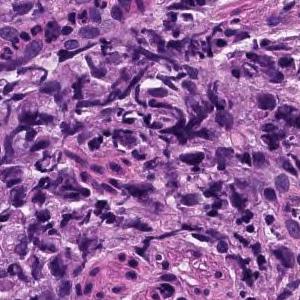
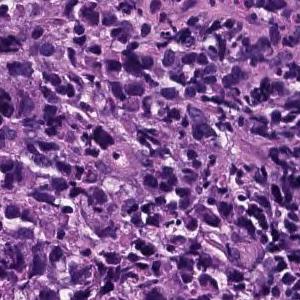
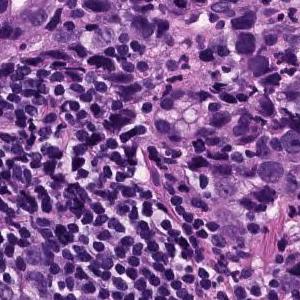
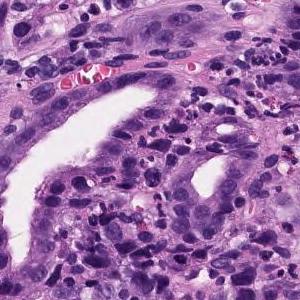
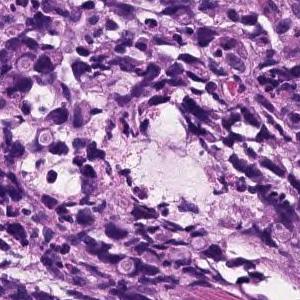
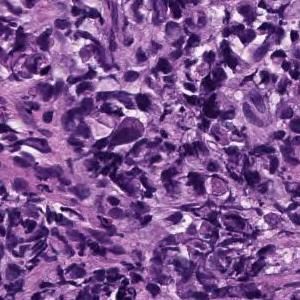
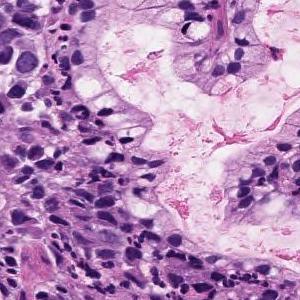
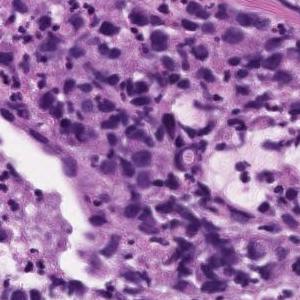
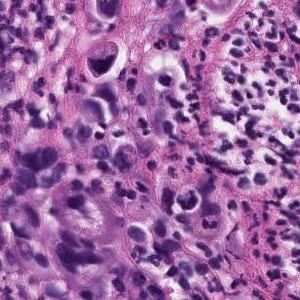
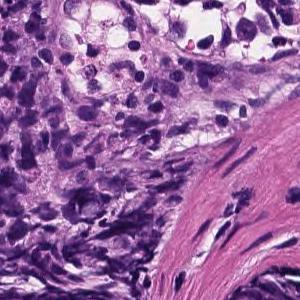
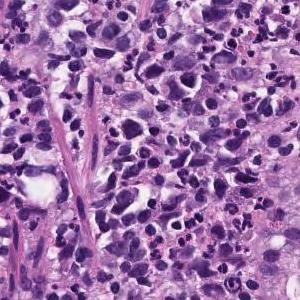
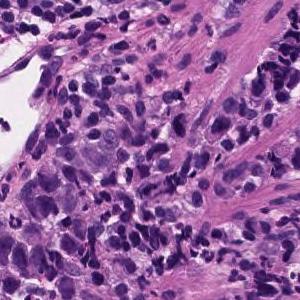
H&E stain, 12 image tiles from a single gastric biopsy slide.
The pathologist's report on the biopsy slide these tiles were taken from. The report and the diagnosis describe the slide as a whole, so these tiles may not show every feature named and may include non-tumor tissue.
Poorly differentiated, solid adenocarcinoma (poorly differentiated adenocarcinoma, solid type) with tumor tissue diffusely infiltrated with atypical epithelial cells
Classified as poorly differentiated adenocarcinoma, solid type (Japanese Classification of Gastric Carcinoma). The WHO 2019 equivalent is tubular adenocarcinoma, poorly differentiated.
